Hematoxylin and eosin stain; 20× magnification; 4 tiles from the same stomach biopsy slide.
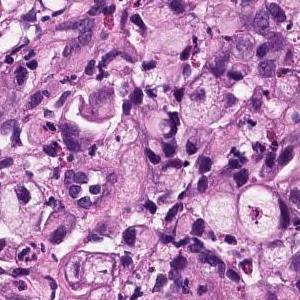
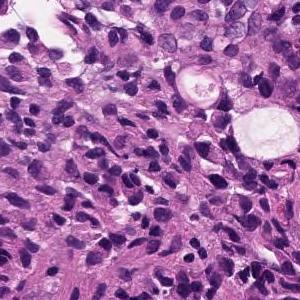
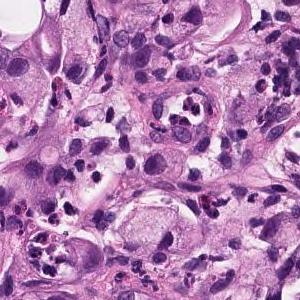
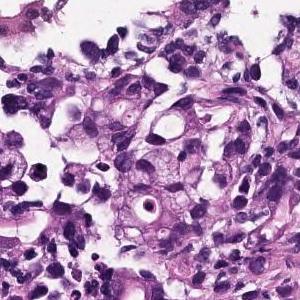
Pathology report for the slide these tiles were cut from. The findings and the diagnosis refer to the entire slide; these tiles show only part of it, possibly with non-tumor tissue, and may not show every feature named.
Atypical epithelium forms irregularly fused gland ducts and proliferates. Poorly differentiated adenocarcinoma.
Histological subtype: Poorly differentiated adenocarcinoma, non-solid type.
The non-solid type named here is a Japanese Classification of Gastric Carcinoma category.
